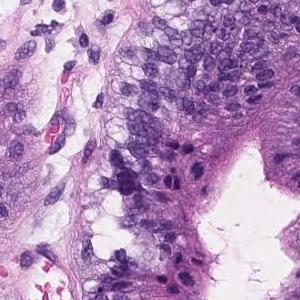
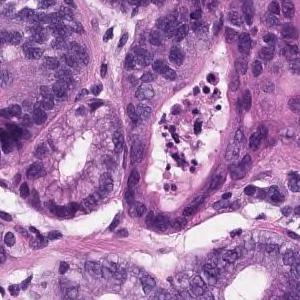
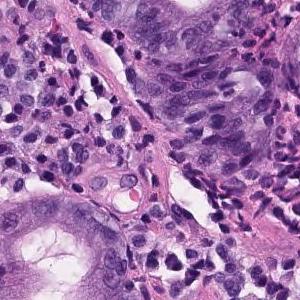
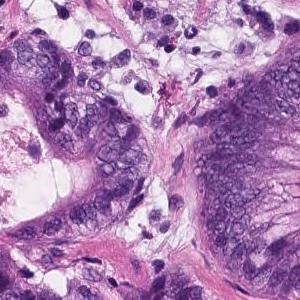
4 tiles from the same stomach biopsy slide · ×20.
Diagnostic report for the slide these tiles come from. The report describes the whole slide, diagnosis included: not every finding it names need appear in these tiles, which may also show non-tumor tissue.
Group 5, Well differentiated tubular adenocarcinoma.
